20× magnification, H&E, 15 tiles from the same stomach biopsy slide, each 300 × 300 pixels.
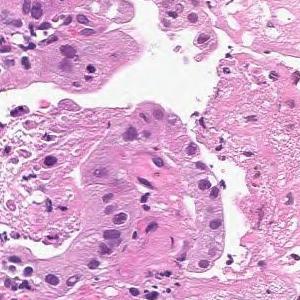
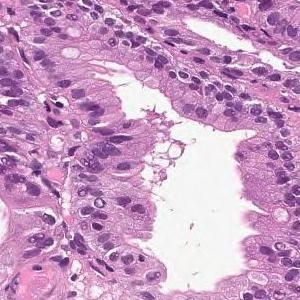
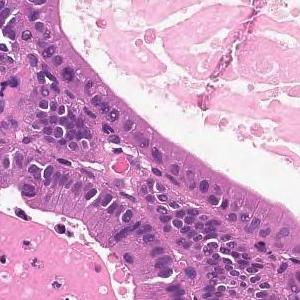
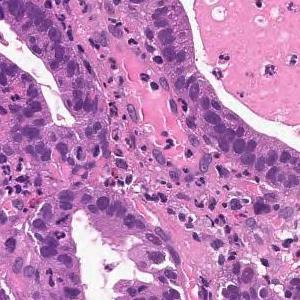
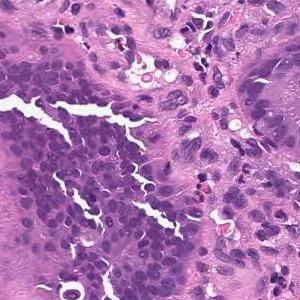
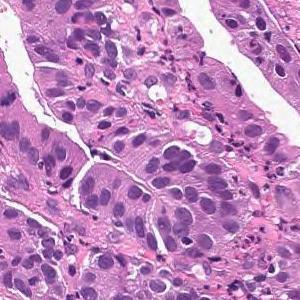
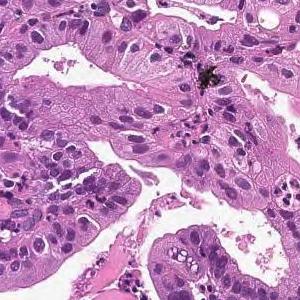
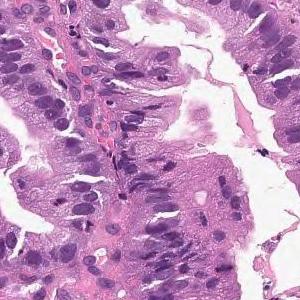
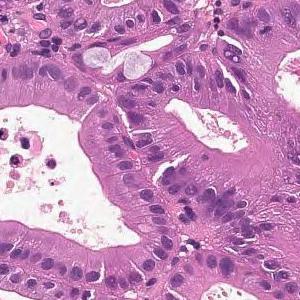
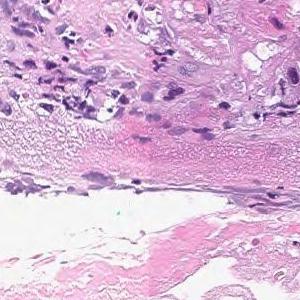
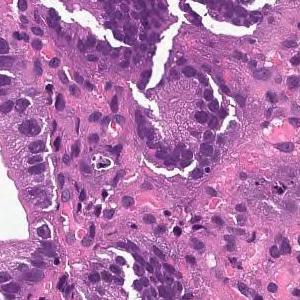
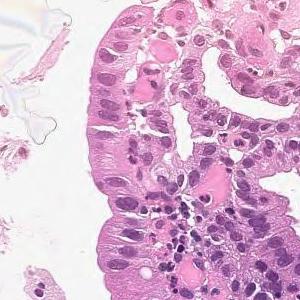
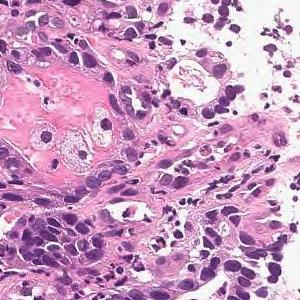
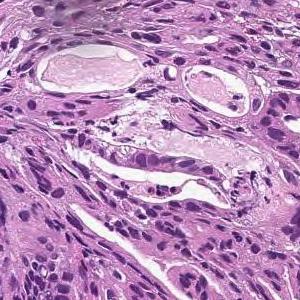
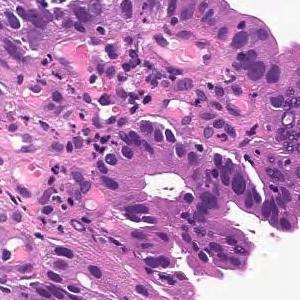
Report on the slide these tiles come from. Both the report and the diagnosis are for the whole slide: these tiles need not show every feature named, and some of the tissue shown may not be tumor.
From the superficial epithelium to the muscularis mucosae, tumor tissue consisting of medium-sized and irregular glandular ducts infiltrating is observed. Well differentiated tubular adenocarcinoma
